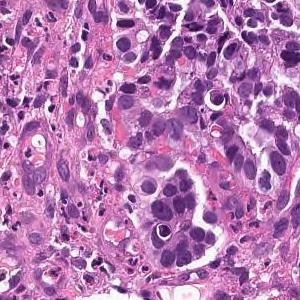
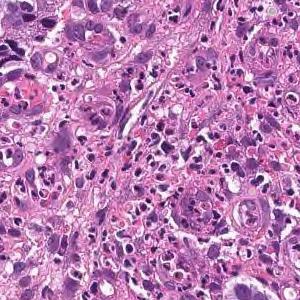
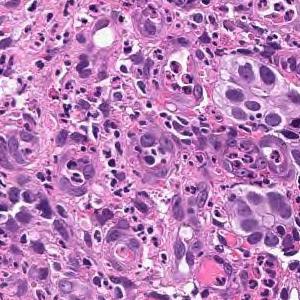
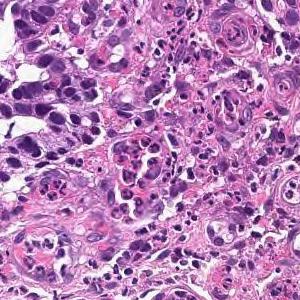
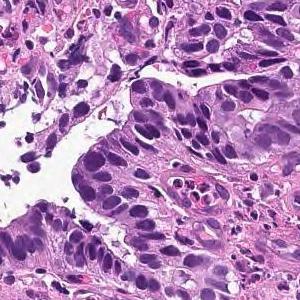
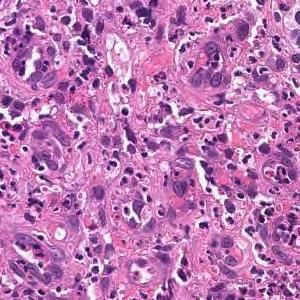
×20 · hematoxylin and eosin stain · 6 tiles from the same stomach biopsy slide.
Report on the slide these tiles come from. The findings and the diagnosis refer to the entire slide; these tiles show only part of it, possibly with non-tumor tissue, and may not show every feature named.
On the superficial epithelium, tumor tissue consisting of large irregular glandular ducts partially fused and infiltrated is observed. Well to moderately differentiated tubular adenocarcinoma (well differentiated tubular adenocarcinoma, moderately differentiated tubular adenocarcinoma)
Classified as well to moderately differentiated tubular adenocarcinoma.
